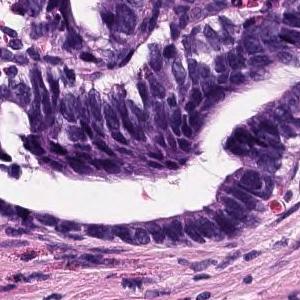
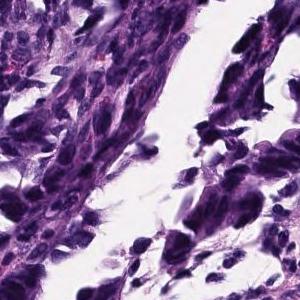
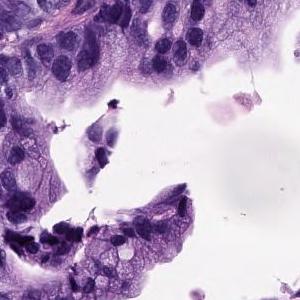
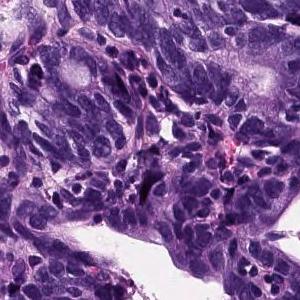
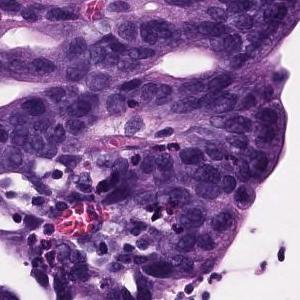
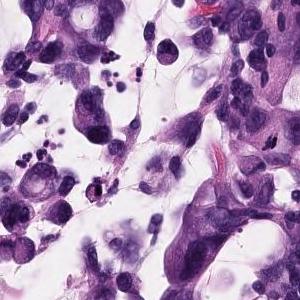
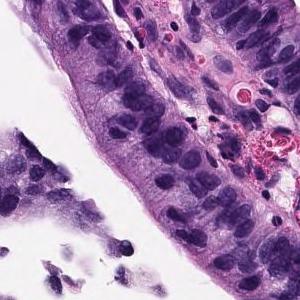
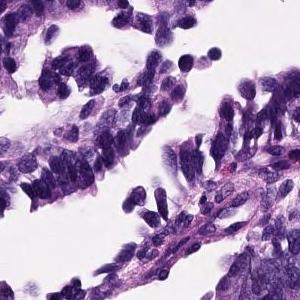
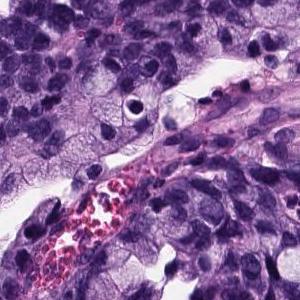
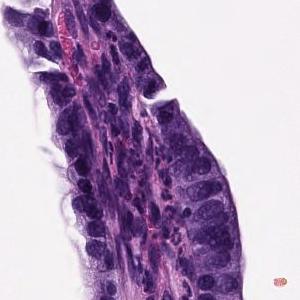
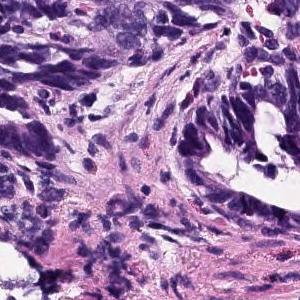
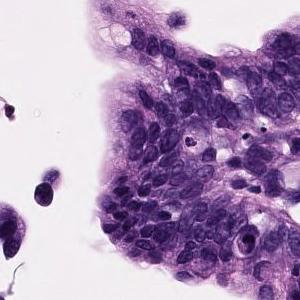
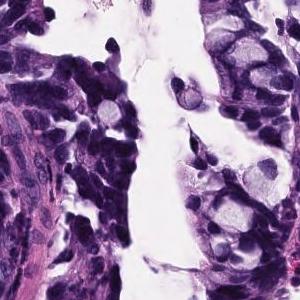
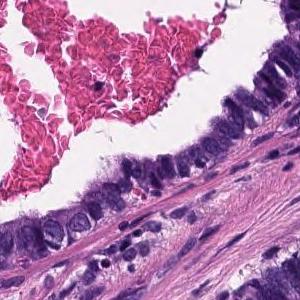
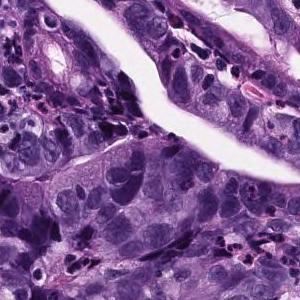
15 tiles cut from one stomach biopsy slide.
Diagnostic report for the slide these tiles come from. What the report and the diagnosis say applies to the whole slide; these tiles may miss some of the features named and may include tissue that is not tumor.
Atypical epithelium proliferating showing villus construction and irregular gland duct construction is observed. Moderately differentiated tubular adenocarcinoma.
